14 tiles cut from one stomach biopsy slide, each 300 × 300 pixels, ×20, hematoxylin and eosin stain.
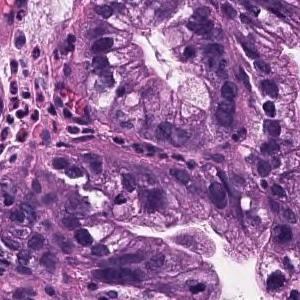
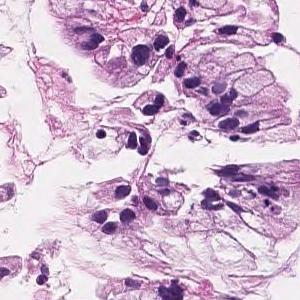
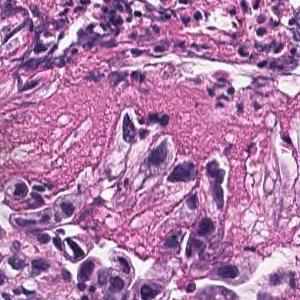
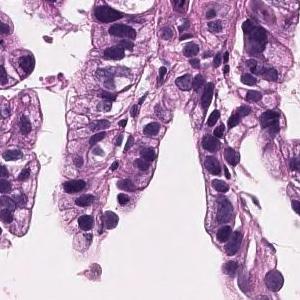
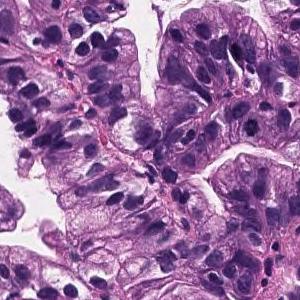
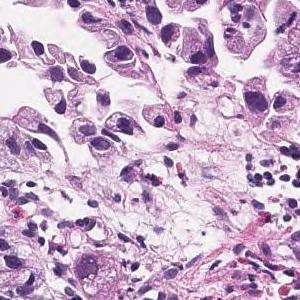
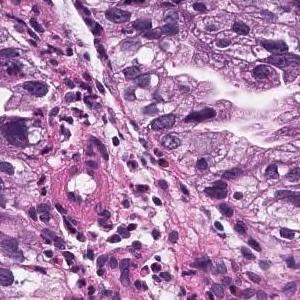
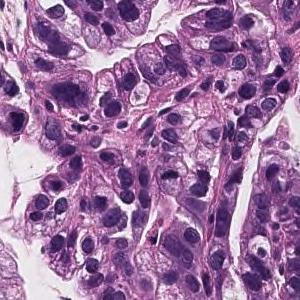
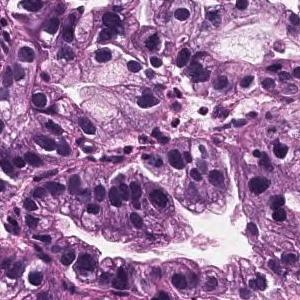
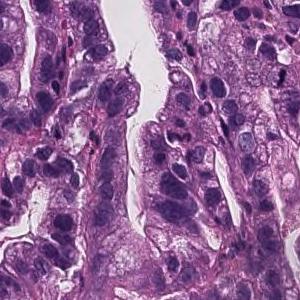
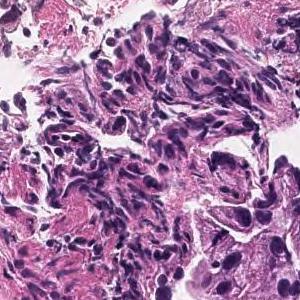
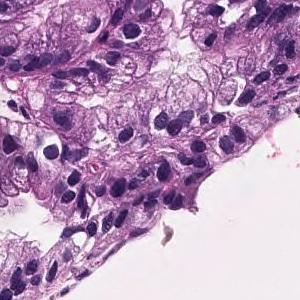
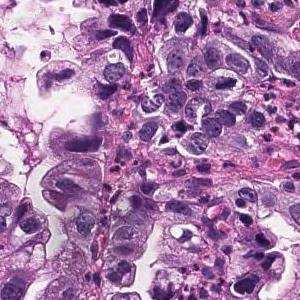
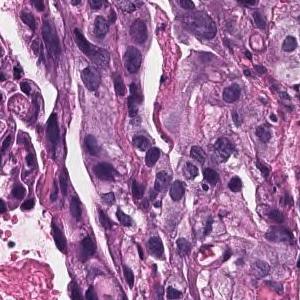
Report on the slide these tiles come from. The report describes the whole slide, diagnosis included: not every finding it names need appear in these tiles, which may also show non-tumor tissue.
Tumor cells are large, highly columnar, large club-shaped nuclei, and are associated with chromatin aggregation. Papillary adenocarcinoma.
